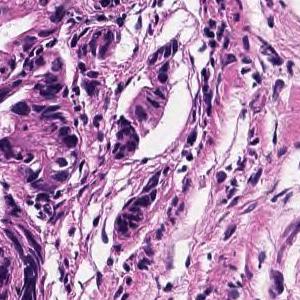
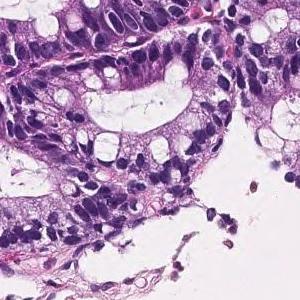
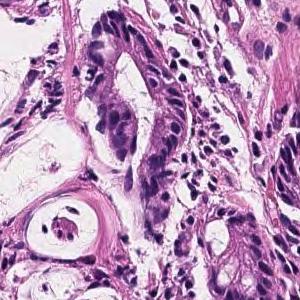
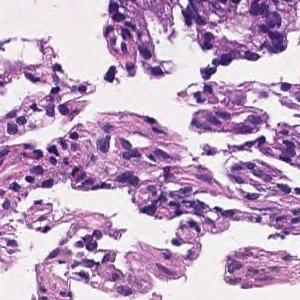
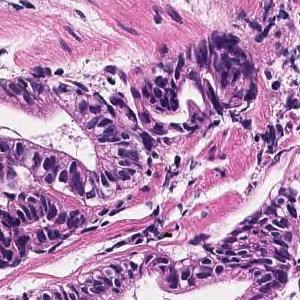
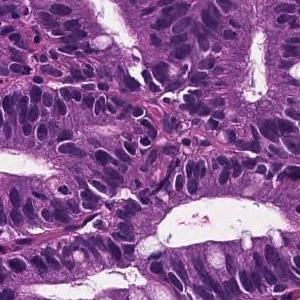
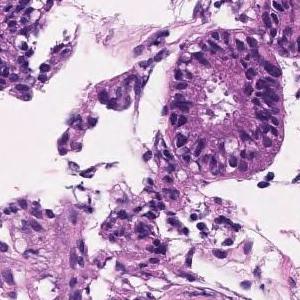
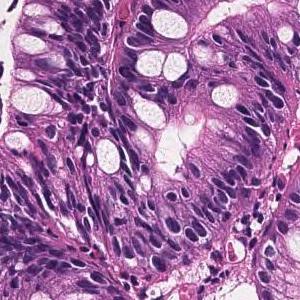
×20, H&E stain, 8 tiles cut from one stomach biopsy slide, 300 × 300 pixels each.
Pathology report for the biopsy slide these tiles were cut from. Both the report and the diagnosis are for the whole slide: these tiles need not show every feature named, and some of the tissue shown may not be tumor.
Most remain in the superficial epithelium, forming medium-sized papillary or small irregular ducts and proliferating, and some tumor tissue invades the muscularis mucosae. Papillary adenocarcinoma
